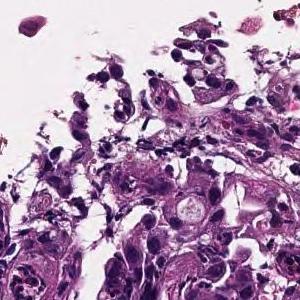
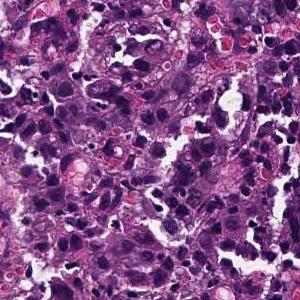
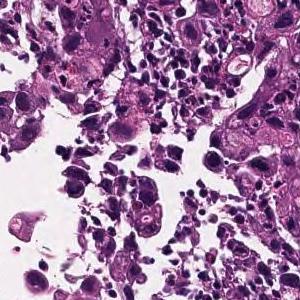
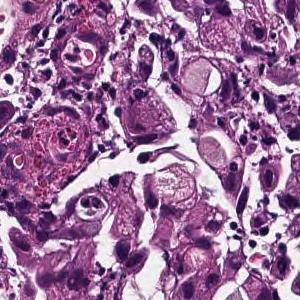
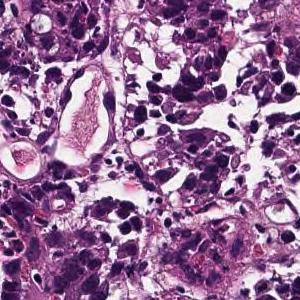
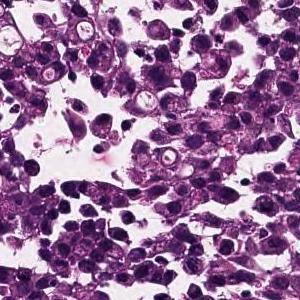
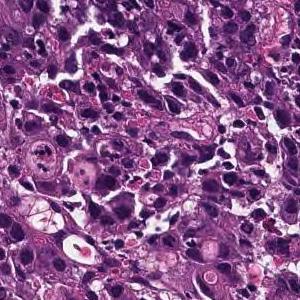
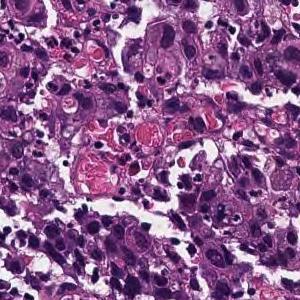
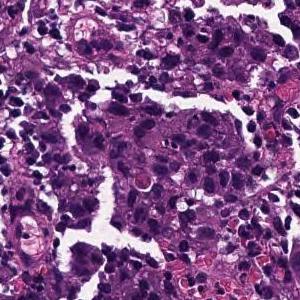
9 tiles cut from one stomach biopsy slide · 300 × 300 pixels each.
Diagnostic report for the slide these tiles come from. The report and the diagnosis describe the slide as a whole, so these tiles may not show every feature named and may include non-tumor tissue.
The superficial epithelium shows a large sheet-like shape, and some tumor tissue infiltrates with small irregular ducts. Poorly differentiated adenocarcinoma, solid-type
Classified as poorly differentiated adenocarcinoma, solid type. This name comes from the Japanese Classification of Gastric Carcinoma; the WHO 2019 classification calls it tubular adenocarcinoma, poorly differentiated.
